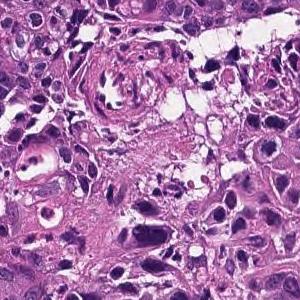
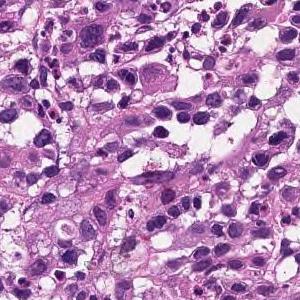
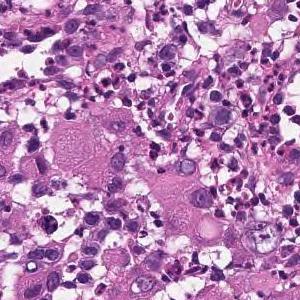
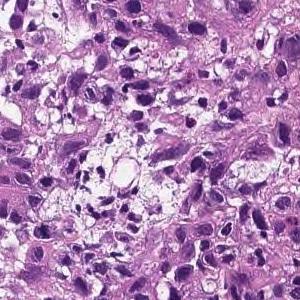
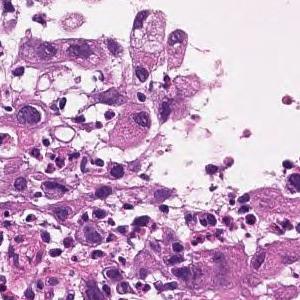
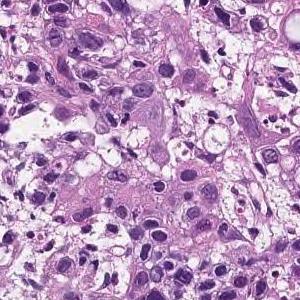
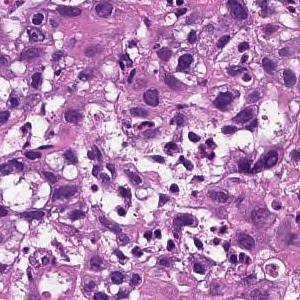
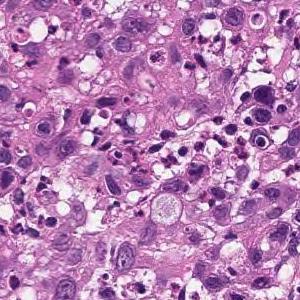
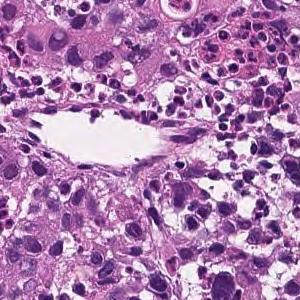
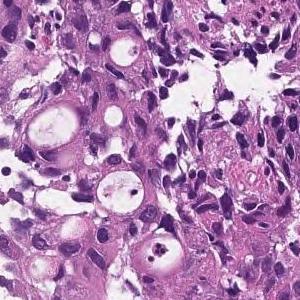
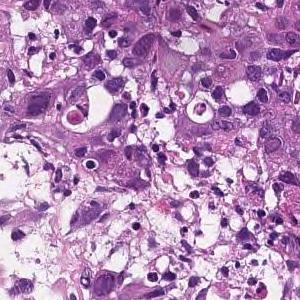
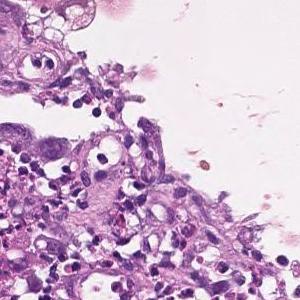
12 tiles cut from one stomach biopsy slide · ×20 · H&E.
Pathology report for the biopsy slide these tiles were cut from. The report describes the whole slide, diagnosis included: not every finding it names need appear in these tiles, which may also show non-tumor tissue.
The superficial epithelium shows a large sheet-like shape, and some tumor tissue infiltrates with small irregular ducts. Poorly differentiated adenocarcinoma, solid-type
Histologic type: Poorly differentiated adenocarcinoma, solid type (Japanese Classification of Gastric Carcinoma). The WHO 2019 equivalent is tubular adenocarcinoma, poorly differentiated.
